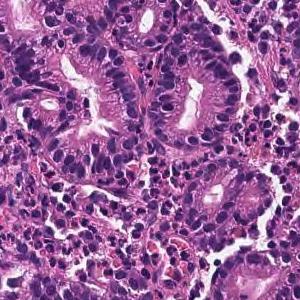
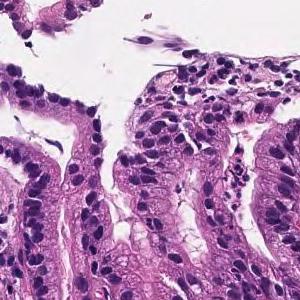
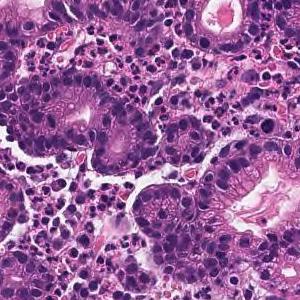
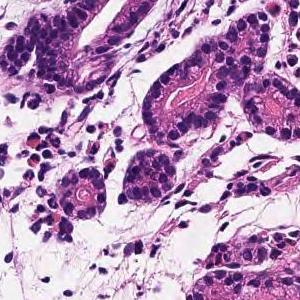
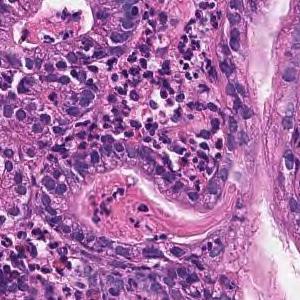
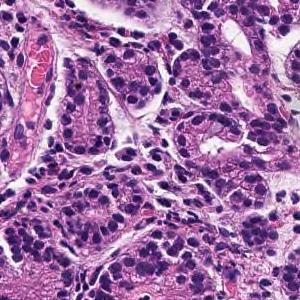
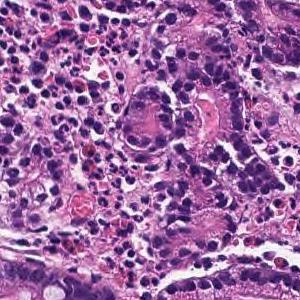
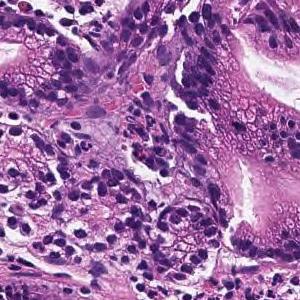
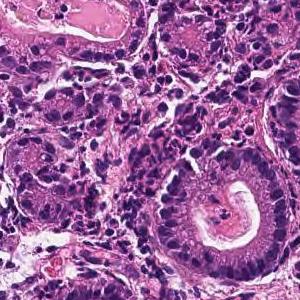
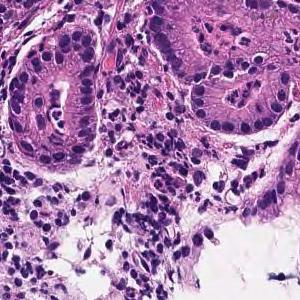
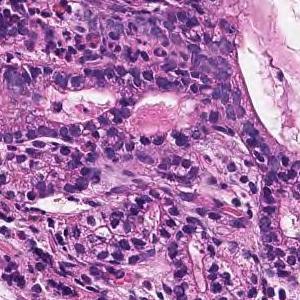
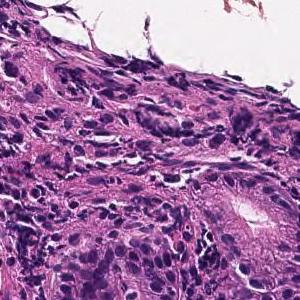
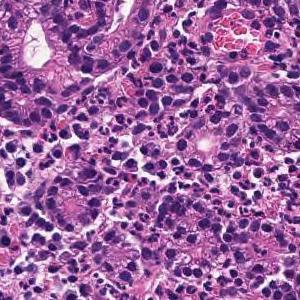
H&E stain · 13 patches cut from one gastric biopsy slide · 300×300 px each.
The pathologist's report on the biopsy slide these tiles were taken from. What the report and the diagnosis say applies to the whole slide; these tiles may miss some of the features named and may include tissue that is not tumor.
Tumor tissue infiltrated and proliferated with small to medium-sized irregular tubules is observed in the superficial epithelium. Well differentiated tubular adenocarcinoma
